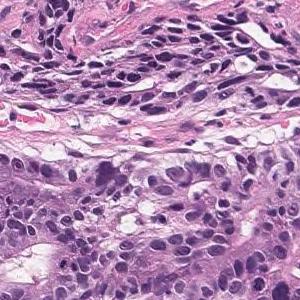
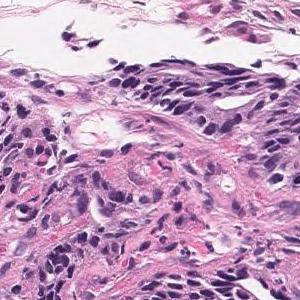
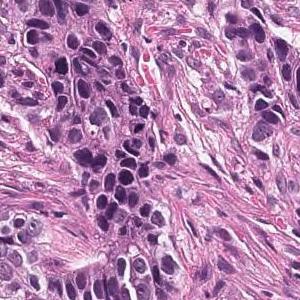
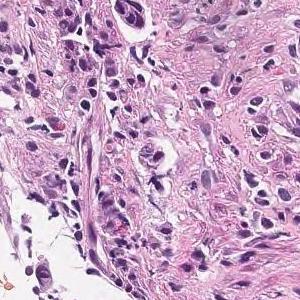
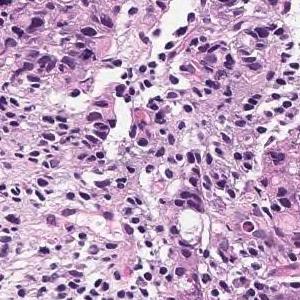
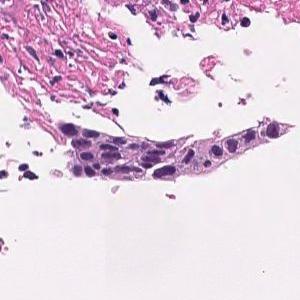
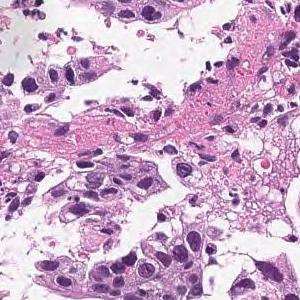
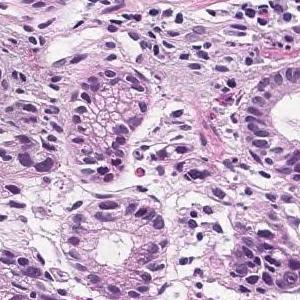
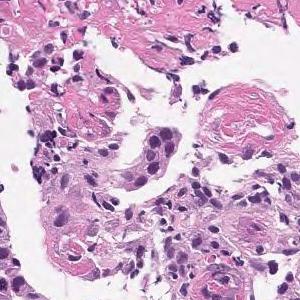
×20; H&E stain; 9 image tiles from a single gastric biopsy slide.
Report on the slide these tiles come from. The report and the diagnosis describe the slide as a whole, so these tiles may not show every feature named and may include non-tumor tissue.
Tumor cells are large, highly columnar, large club-shaped nuclei, and are associated with chromatin aggregation. Papillary adenocarcinoma.
